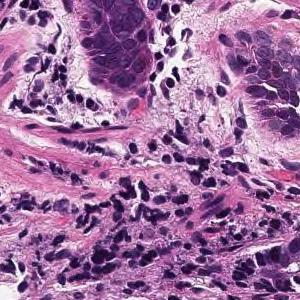
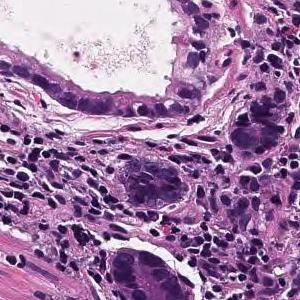
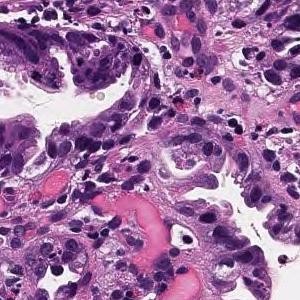
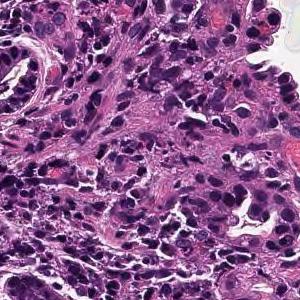
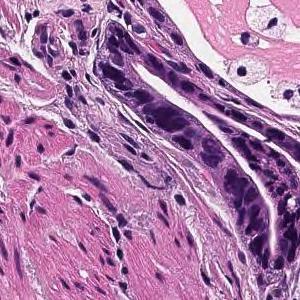
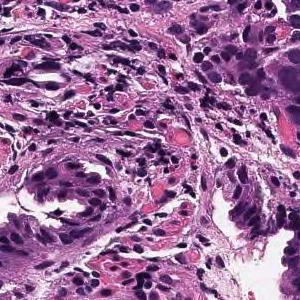
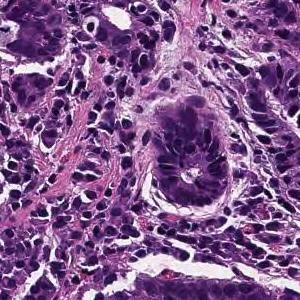
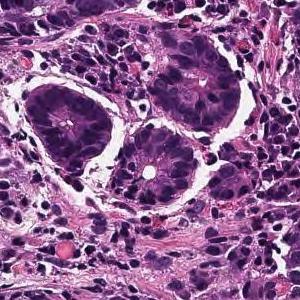
Hematoxylin and eosin stain; 8 patches cut from one gastric biopsy slide; 300×300 px each.
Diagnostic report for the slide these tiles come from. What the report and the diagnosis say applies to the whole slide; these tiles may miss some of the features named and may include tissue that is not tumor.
From the superficial epithelium to the muscularis mucosae, tumor tissue consisting of medium-sized and irregular glandular ducts infiltrating is observed. Well differentiated tubular adenocarcinoma
